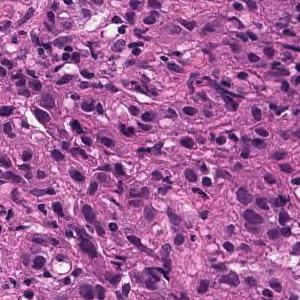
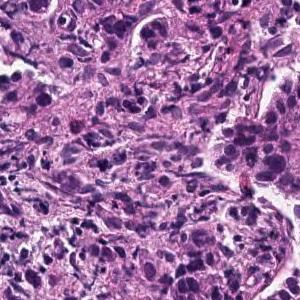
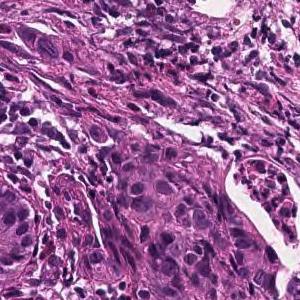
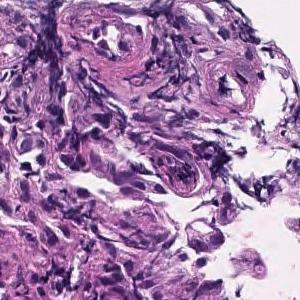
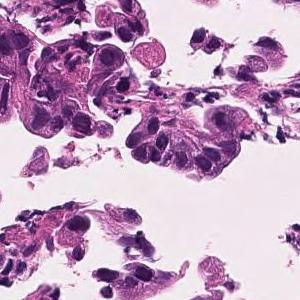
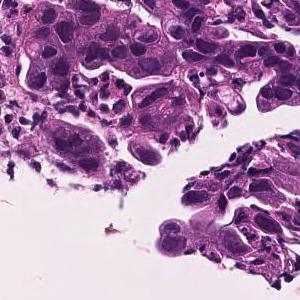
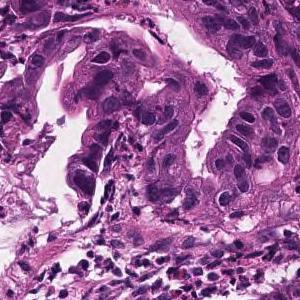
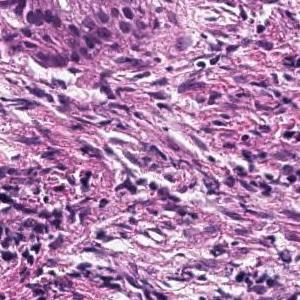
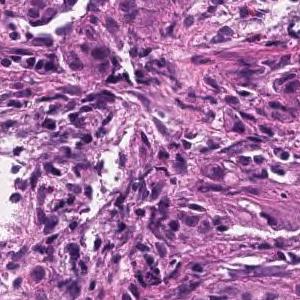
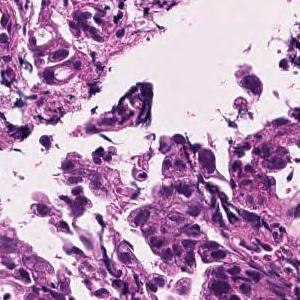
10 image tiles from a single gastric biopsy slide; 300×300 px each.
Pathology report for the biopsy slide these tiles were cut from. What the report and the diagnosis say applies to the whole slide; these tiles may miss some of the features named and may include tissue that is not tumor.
Tumor tissue consisting of medium-sized, cord-like or irregular glandular infiltration is observed in the superficial epithelium. Poorly differentiated adenocarcinoma, non-solid type or moderately differentiated tubular adenocarcinoma
"Non-solid type" is a category of the Japanese Classification of Gastric Carcinoma.
